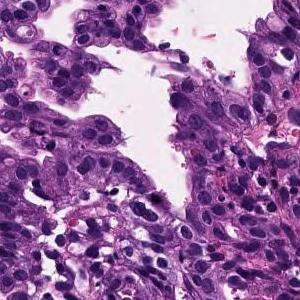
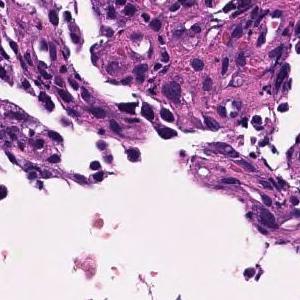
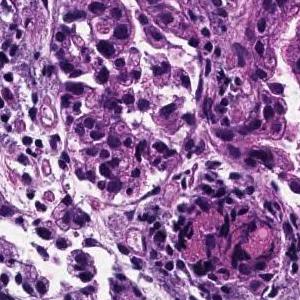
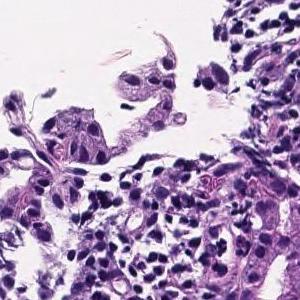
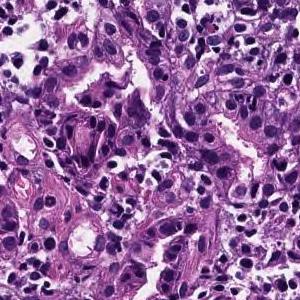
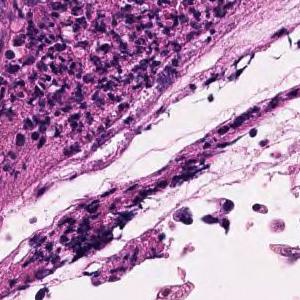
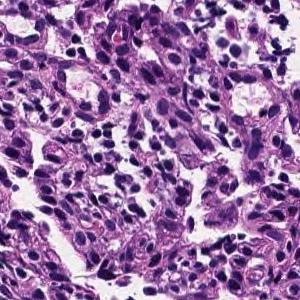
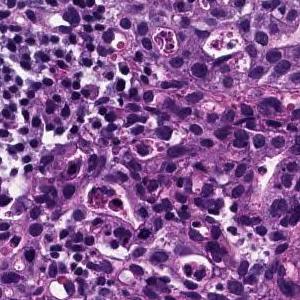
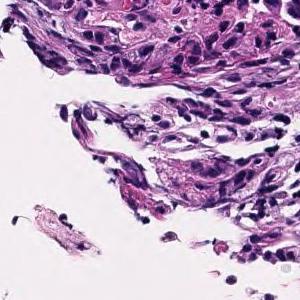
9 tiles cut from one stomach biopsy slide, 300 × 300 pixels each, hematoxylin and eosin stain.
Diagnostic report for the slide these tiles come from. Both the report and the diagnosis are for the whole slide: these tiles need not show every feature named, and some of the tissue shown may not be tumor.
Medium to small, irregular glandular ducts are formed in the superficial epithelium, and in some cases, the glandular ducts are fused to show solid alveolar lesions and infiltrating tumor tissue is observed. Moderately to poorly differentiated adenocarcinoma.
